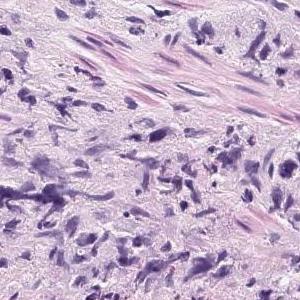
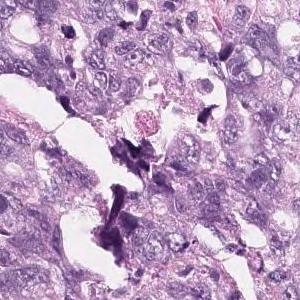
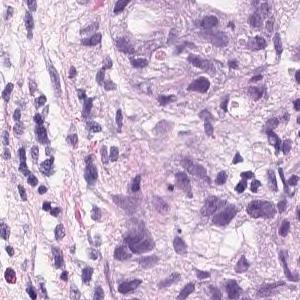
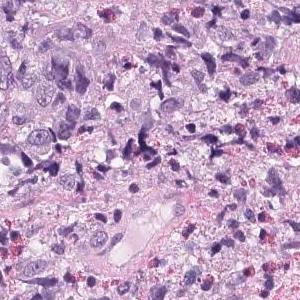
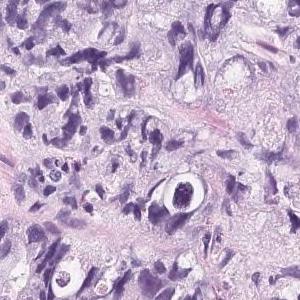
×20, 5 image tiles from a single gastric biopsy slide, 300×300 px each.
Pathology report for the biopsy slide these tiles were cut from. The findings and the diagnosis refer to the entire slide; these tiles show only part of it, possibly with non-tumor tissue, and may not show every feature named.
Tumor tissue that infiltrates and proliferates by forming small glandular cavities in the superficial layer to the submucosa or forming a mass is observed. moderately differentiated tubular adenocarcinoma
